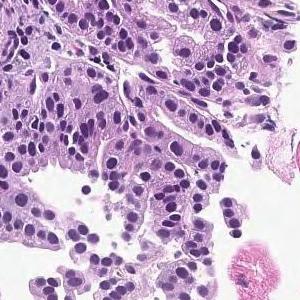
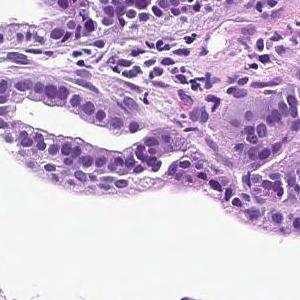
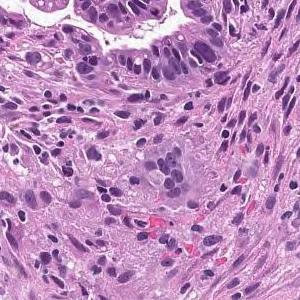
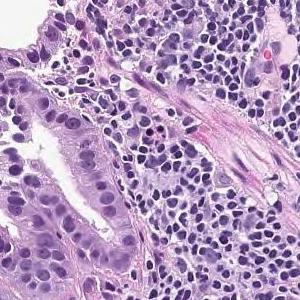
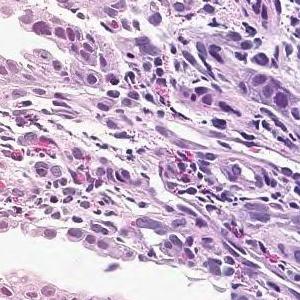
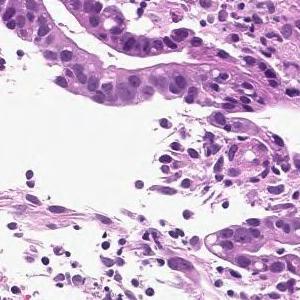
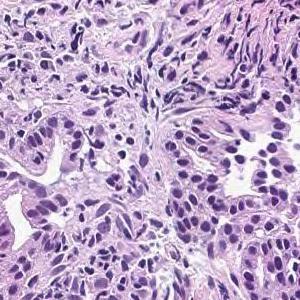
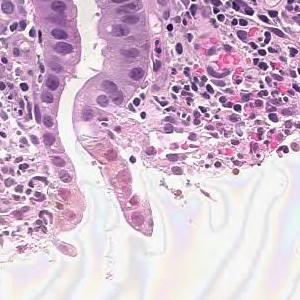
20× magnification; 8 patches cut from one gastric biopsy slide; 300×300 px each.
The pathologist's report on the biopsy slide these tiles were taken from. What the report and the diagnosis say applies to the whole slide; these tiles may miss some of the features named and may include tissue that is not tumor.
On the superficial epithelium, tumor tissue that infiltrates by forming medium-sized papillary or small irregular ducts is observed. Papillary adenocarcinoma
